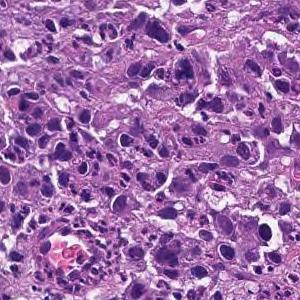
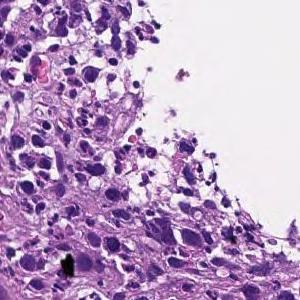
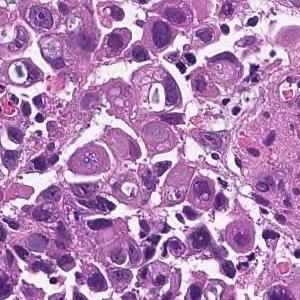
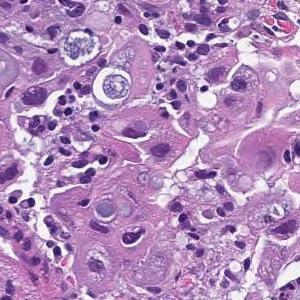
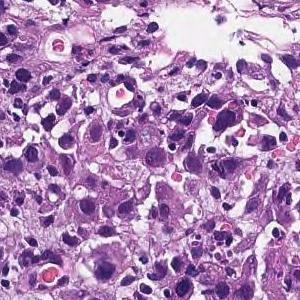
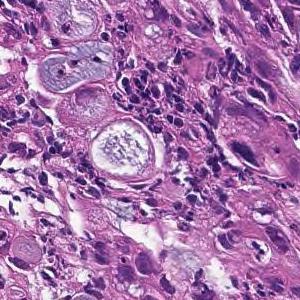
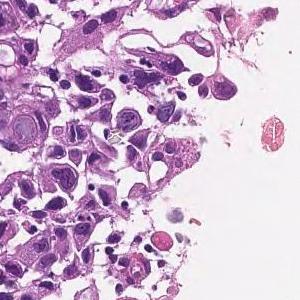
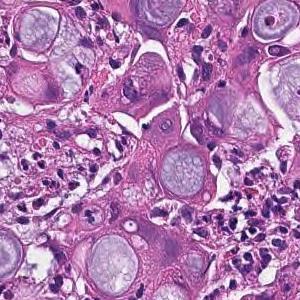
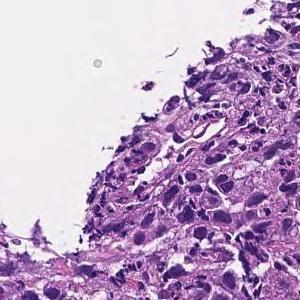
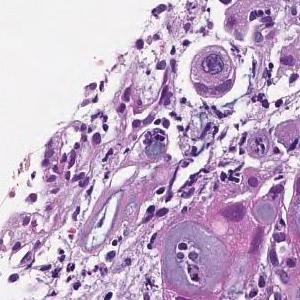
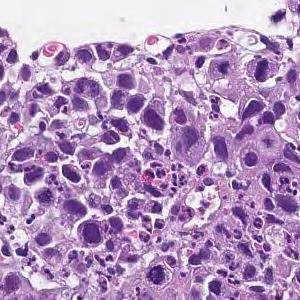
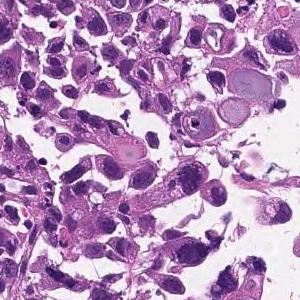
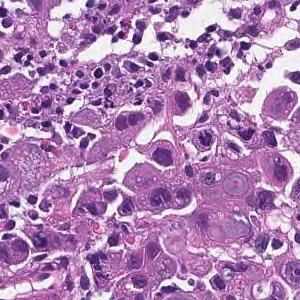
13 image tiles from a single gastric biopsy slide, each 300 × 300 pixels, H&E stain, 20× magnification.
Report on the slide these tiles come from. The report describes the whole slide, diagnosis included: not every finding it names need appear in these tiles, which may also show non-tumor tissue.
The superficial epithelium shows a large sheet-like shape, and some tumor tissue infiltrates with small irregular ducts. Poorly differentiated adenocarcinoma, solid-type
Histological subtype: Poorly differentiated adenocarcinoma, solid type. This name comes from the Japanese Classification of Gastric Carcinoma; the WHO 2019 classification calls it tubular adenocarcinoma, poorly differentiated.
